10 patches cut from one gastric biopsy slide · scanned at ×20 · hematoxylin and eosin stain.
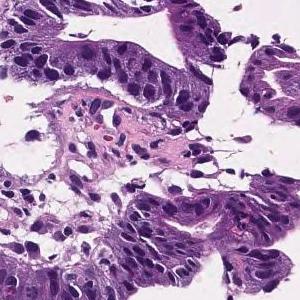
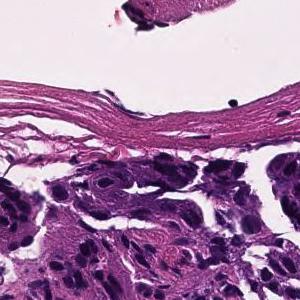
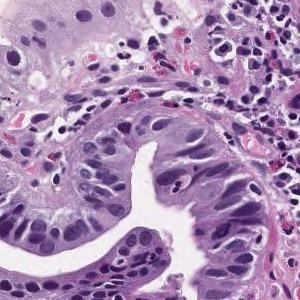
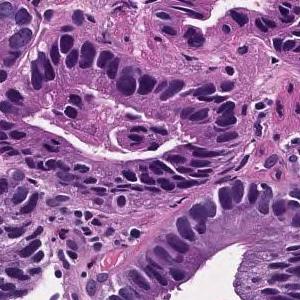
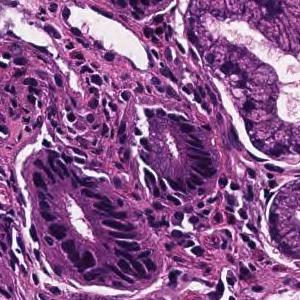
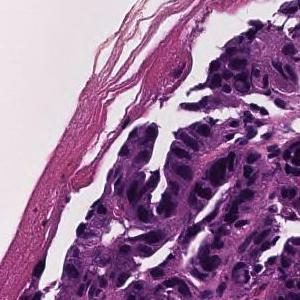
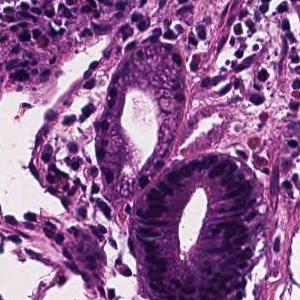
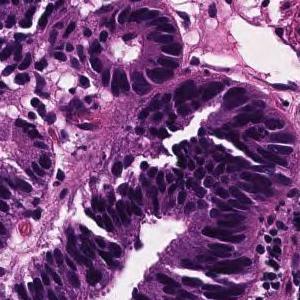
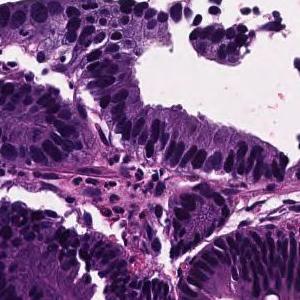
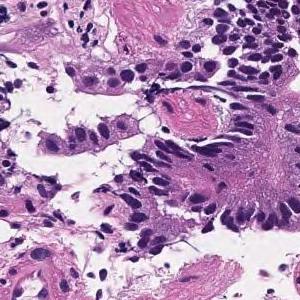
Pathology report for the biopsy slide these tiles were cut from. The report describes the whole slide, diagnosis included: not every finding it names need appear in these tiles, which may also show non-tumor tissue.
Tumor cells are large, highly columnar, large club-shaped nuclei, and are associated with chromatin aggregation. Papillary adenocarcinoma.
